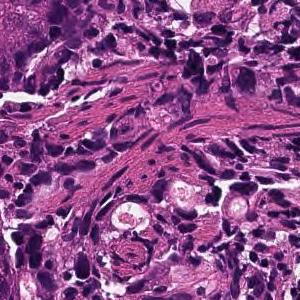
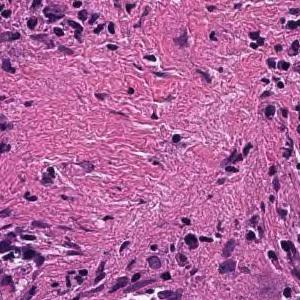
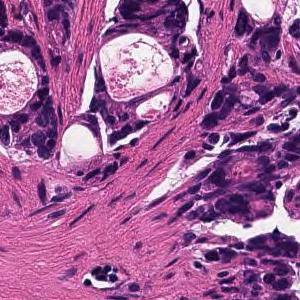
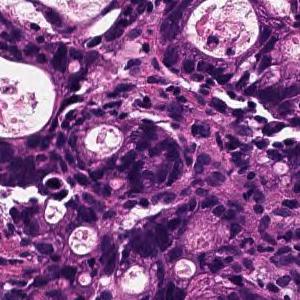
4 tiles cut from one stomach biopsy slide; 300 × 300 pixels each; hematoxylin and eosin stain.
Diagnostic report for the slide these tiles come from. What the report and the diagnosis say applies to the whole slide; these tiles may miss some of the features named and may include tissue that is not tumor.
In the superficial epithelium, tumor tissue that invades by forming medium-sized to small, irregular ducts is observed. moderately differentiated tubular adenocarcinoma.
